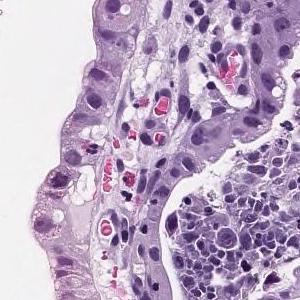
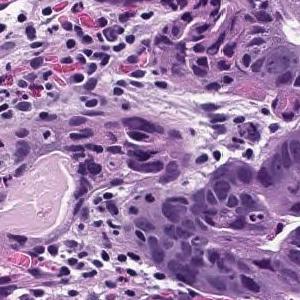
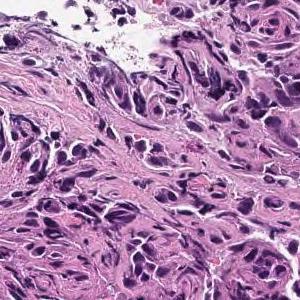
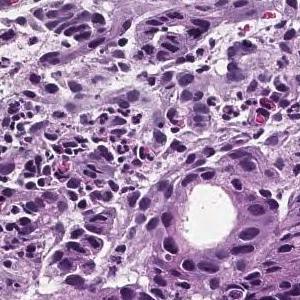
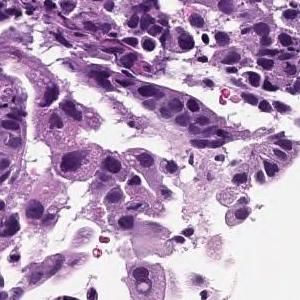
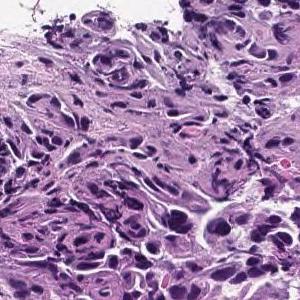
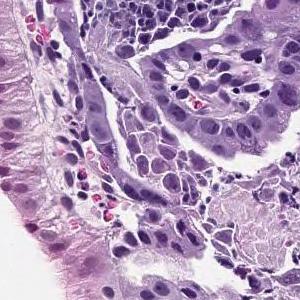
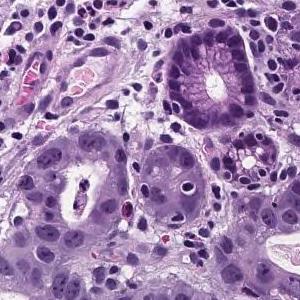
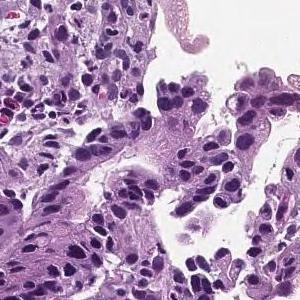
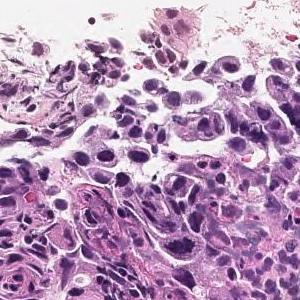
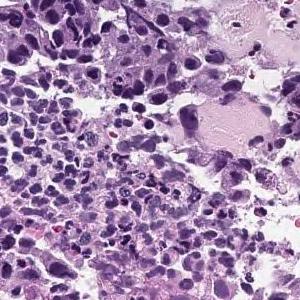
×20 · 11 tiles cut from one stomach biopsy slide · 300 × 300 pixels each.
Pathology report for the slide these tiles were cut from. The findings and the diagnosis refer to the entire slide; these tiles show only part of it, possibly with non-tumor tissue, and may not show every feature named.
Tumor cells are large, highly columnar, large club-shaped nuclei, and are associated with chromatin aggregation. Papillary adenocarcinoma.
